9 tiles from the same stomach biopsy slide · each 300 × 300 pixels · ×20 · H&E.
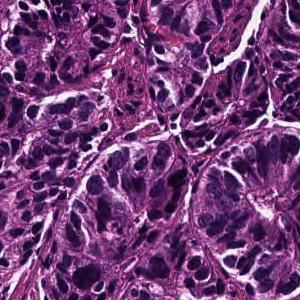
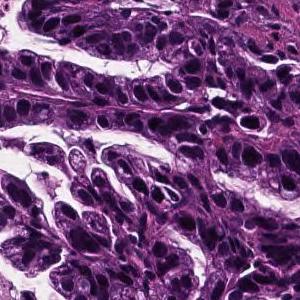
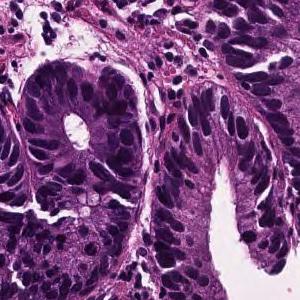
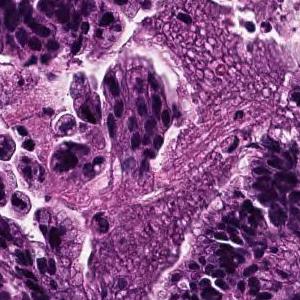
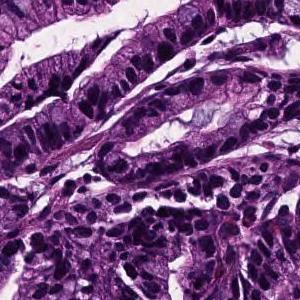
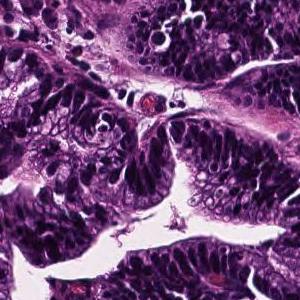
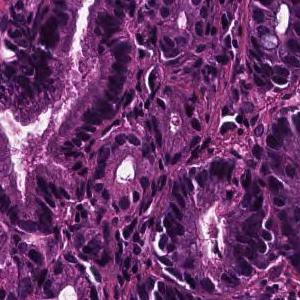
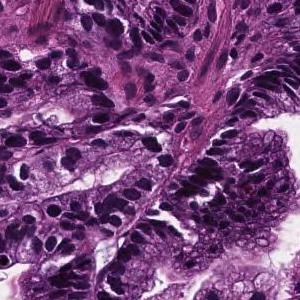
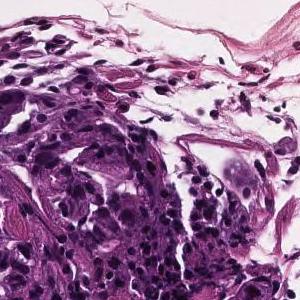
Pathology report for the slide these tiles were cut from. Both the report and the diagnosis are for the whole slide: these tiles need not show every feature named, and some of the tissue shown may not be tumor.
In the superficial epithelium, tumor tissue that invades by forming medium-sized to small, irregular ducts is observed. Well differentiated tubular adenocarcinoma.
